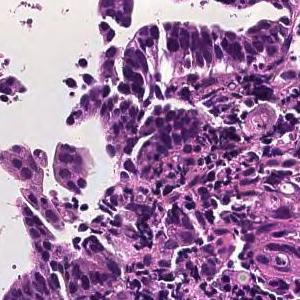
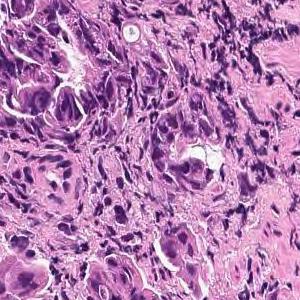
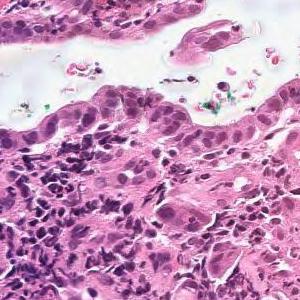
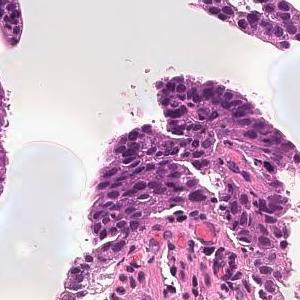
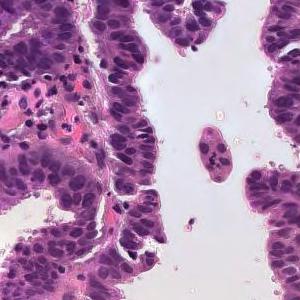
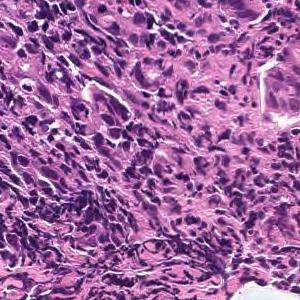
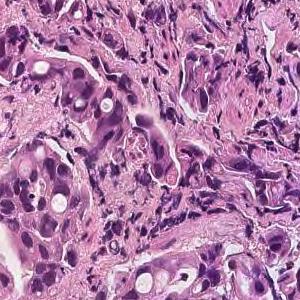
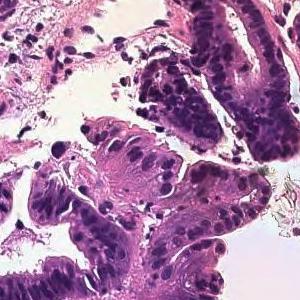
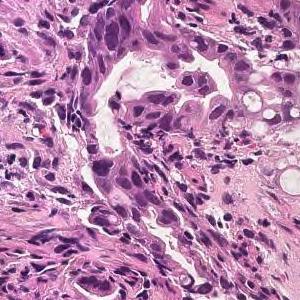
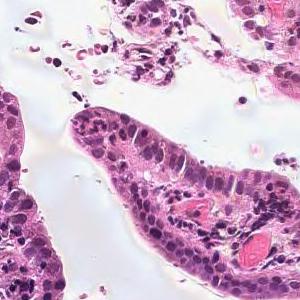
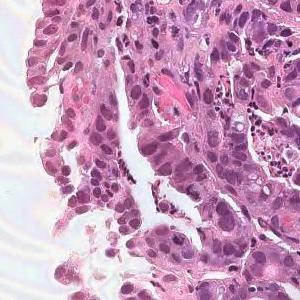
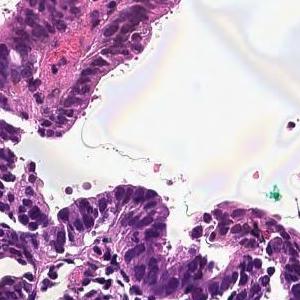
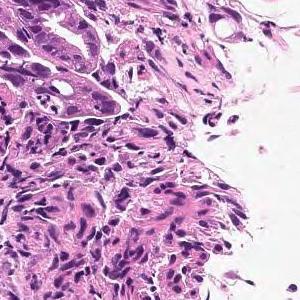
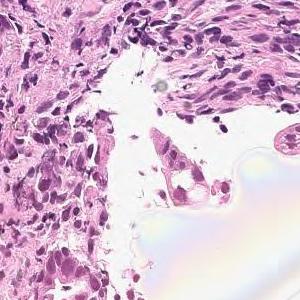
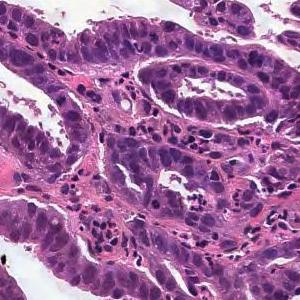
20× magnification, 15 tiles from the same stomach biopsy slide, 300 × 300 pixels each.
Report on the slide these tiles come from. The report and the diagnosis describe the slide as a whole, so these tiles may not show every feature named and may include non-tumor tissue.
From the superficial epithelium to the muscularis mucosae, tumor tissue consisting of medium-sized and irregular glandular ducts infiltrating is observed. Well differentiated tubular adenocarcinoma
